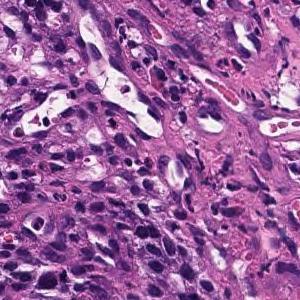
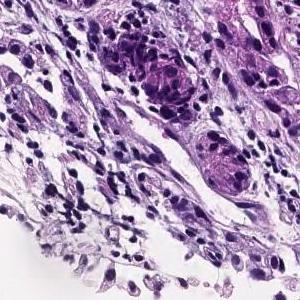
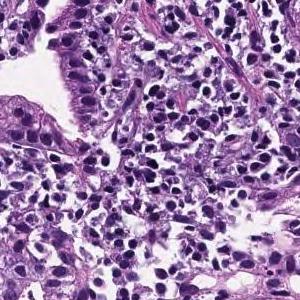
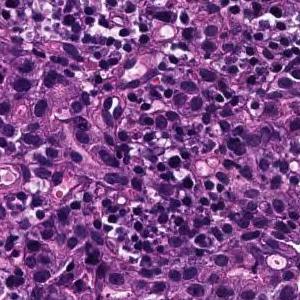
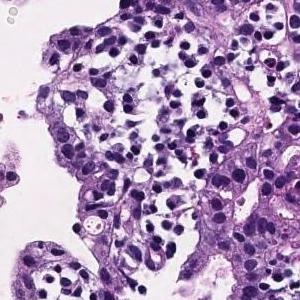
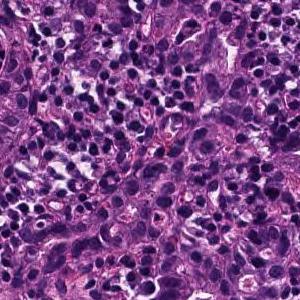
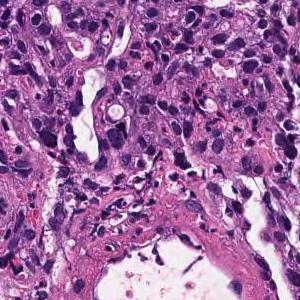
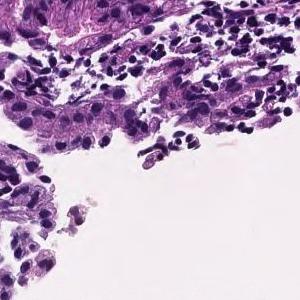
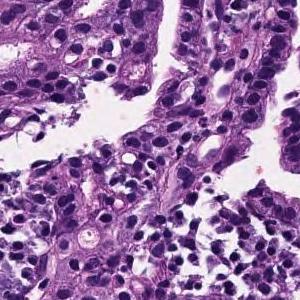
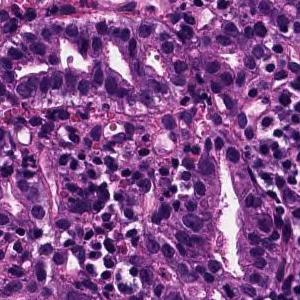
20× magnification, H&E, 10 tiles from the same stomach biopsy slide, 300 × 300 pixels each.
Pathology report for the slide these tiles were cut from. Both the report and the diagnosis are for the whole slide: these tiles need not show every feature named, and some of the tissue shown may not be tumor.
Medium to small, irregular glandular ducts are formed in the superficial epithelium, and in some cases, the glandular ducts are fused to show solid alveolar lesions and infiltrating tumor tissue is observed. Moderately to poorly differentiated adenocarcinoma.
